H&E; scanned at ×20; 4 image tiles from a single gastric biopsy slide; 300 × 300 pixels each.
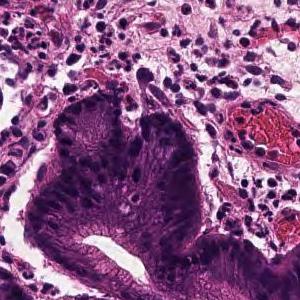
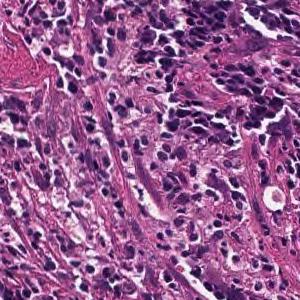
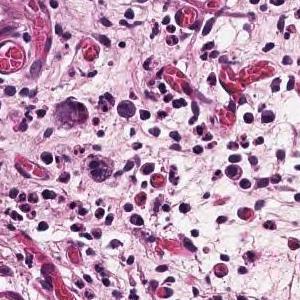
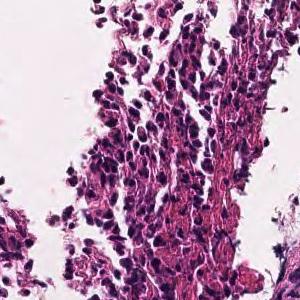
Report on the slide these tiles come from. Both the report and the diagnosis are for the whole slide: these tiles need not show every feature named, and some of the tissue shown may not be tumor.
Tumor tissue consisting of cord-like or small, irregular glandular ducts fused and infiltrated is observed in the superficial epithelium. Poorly differentiated adenocarcinoma, non-solid type
The non-solid type named here is a Japanese Classification of Gastric Carcinoma category.
